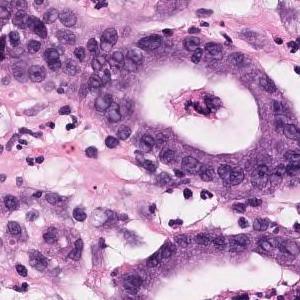
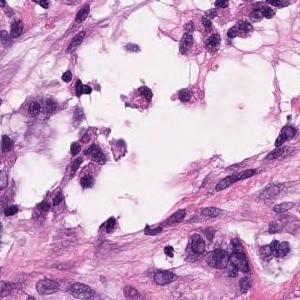
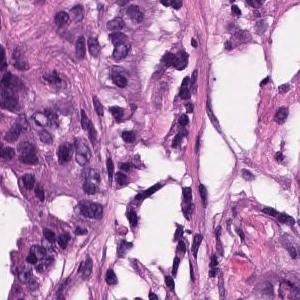
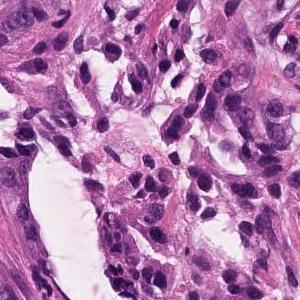
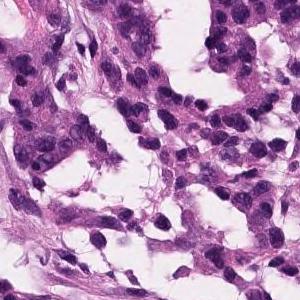
5 image tiles from a single gastric biopsy slide; 300 × 300 pixels each; H&E; ×20.
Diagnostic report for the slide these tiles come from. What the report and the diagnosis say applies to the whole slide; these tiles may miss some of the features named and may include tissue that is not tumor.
In the superficial epithelium, tumor tissue that invades by forming medium-sized to small, irregular ducts is observed. Moderately differentiated adenocarcinoma.
Histologic type: Moderately differentiated tubular adenocarcinoma.
